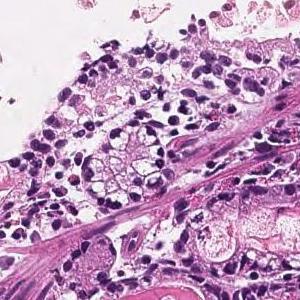
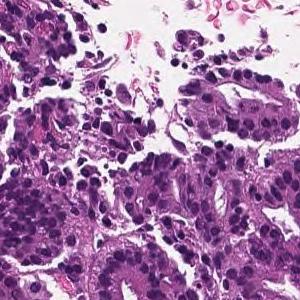
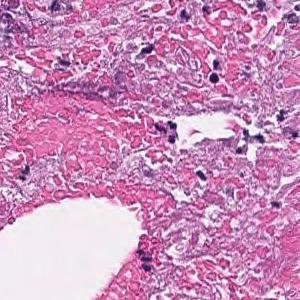
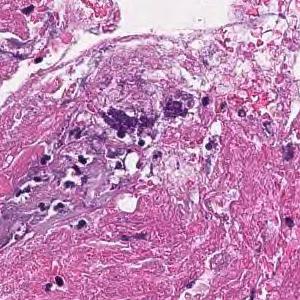
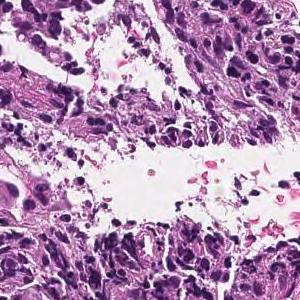
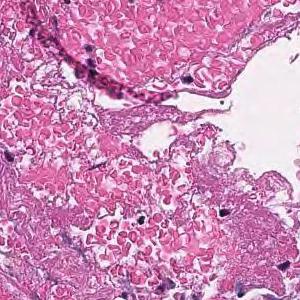
6 tiles cut from one stomach biopsy slide, 300×300 px each.
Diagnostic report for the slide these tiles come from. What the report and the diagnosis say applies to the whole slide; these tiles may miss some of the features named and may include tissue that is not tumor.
On the superficial epithelium, tumor tissue that infiltrates by forming medium-sized papillary or small irregular ducts is observed. Papillary adenocarcinoma
